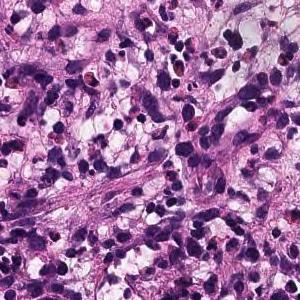
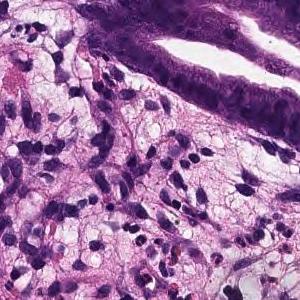
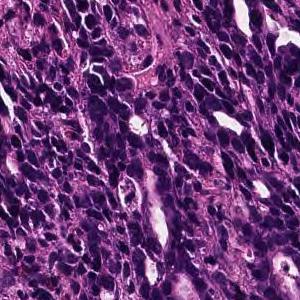
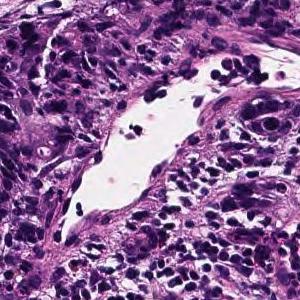
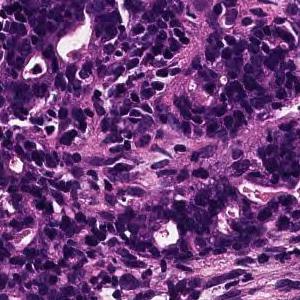
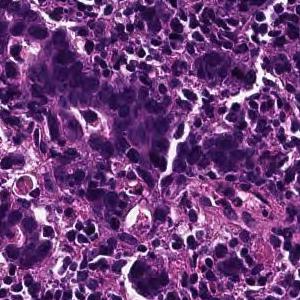
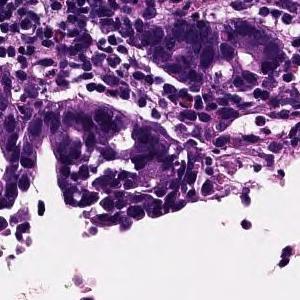
×20, H&E stain, 7 tiles from the same stomach biopsy slide.
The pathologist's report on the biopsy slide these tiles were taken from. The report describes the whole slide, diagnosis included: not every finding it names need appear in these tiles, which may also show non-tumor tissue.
On the superficial epithelium, tumor tissue is found in which medium-sized irregular gland ducts fuse with each other and infiltrate. moderately differentiated tubular adenocarcinoma or Poorly differentiated adenocarcinoma, non-solid type
Tumor subtype: moderately to poorly differentiated adenocarcinoma.
The non-solid type named here is a Japanese Classification of Gastric Carcinoma category.
